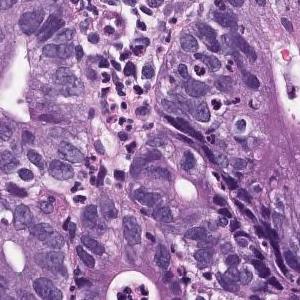
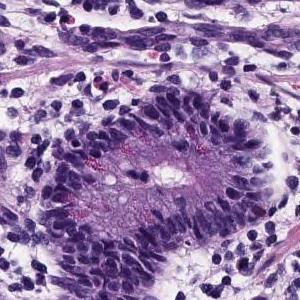
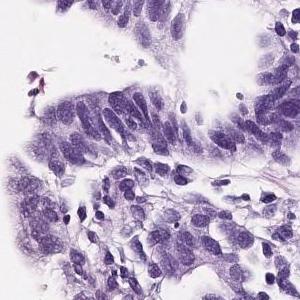
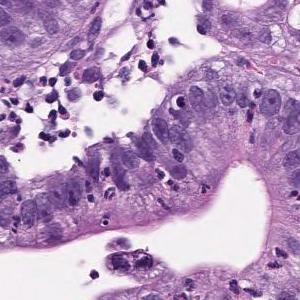
Scanned at ×20; H&E; 4 tiles from the same stomach biopsy slide.
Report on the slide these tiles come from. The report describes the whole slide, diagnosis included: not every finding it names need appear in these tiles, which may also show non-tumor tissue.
On the superficial epithelium, tumor tissue consisting of large, irregular glandular ducts partially fused and infiltrated is observed. Well to moderately differentiated tubular adenocarcinoma (well differentiated tubular adenocarcinoma, moderately differentiated tubular adenocarcinoma)
Dataset label: well differentiated tubular adenocarcinoma.
